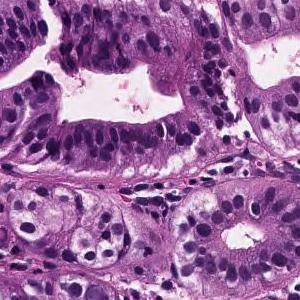
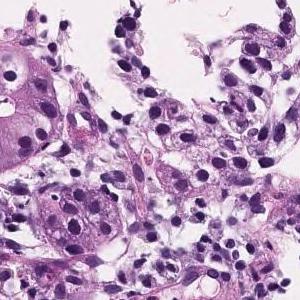
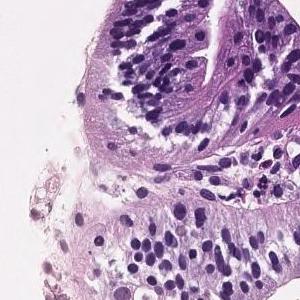
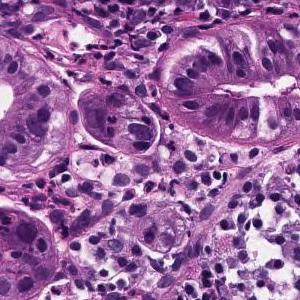
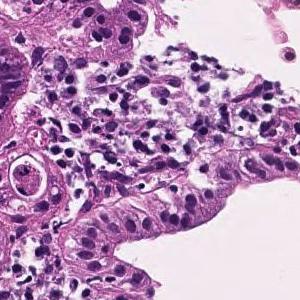
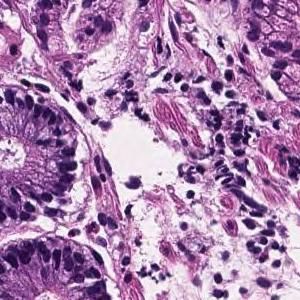
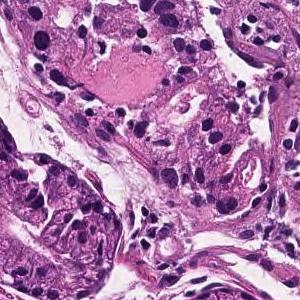
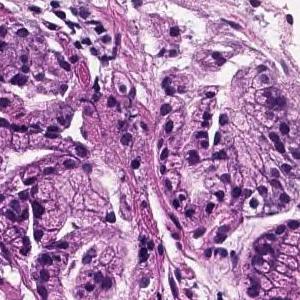
H&E, scanned at ×20, 8 tiles cut from one stomach biopsy slide.
Pathology report for the biopsy slide these tiles were cut from. The report describes the whole slide, diagnosis included: not every finding it names need appear in these tiles, which may also show non-tumor tissue.
In the superficial epithelium, tumor tissue that invades by forming medium-sized to small, irregular ducts is observed. moderately differentiated tubular adenocarcinoma.
